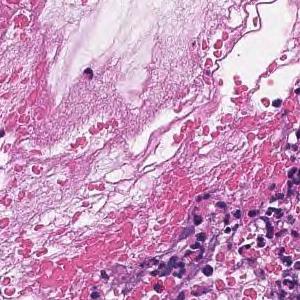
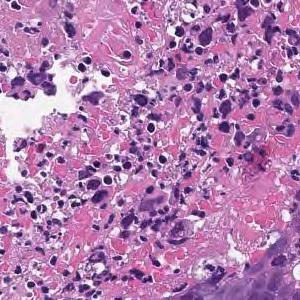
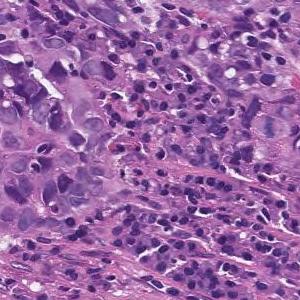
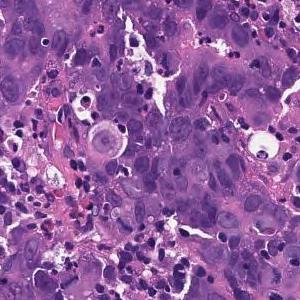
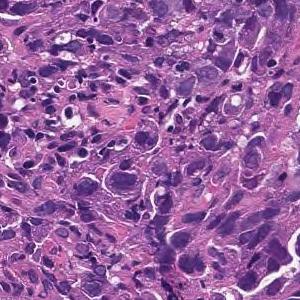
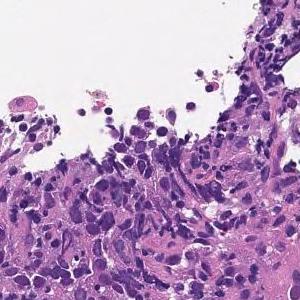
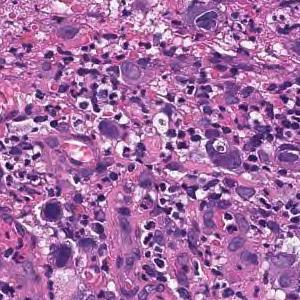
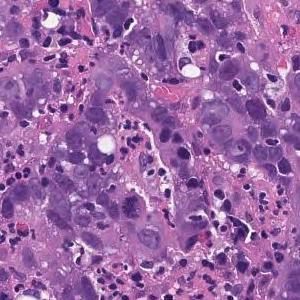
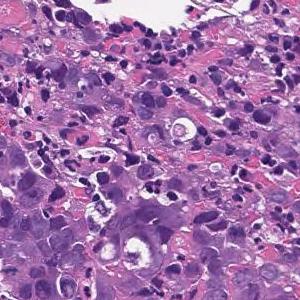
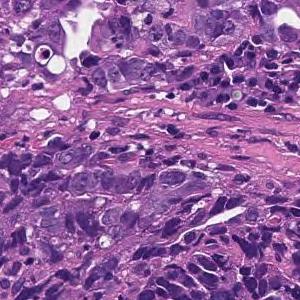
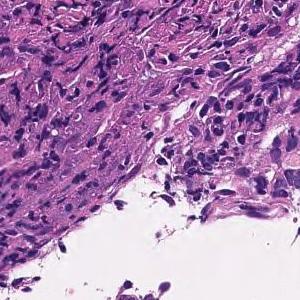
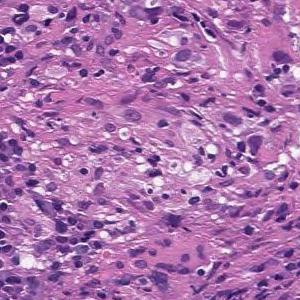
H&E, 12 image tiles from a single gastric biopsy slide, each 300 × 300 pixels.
Diagnostic report for the slide these tiles come from. What the report and the diagnosis say applies to the whole slide; these tiles may miss some of the features named and may include tissue that is not tumor.
Tumor tissue consisting of cord-like or small, irregular glandular ducts fused and infiltrated is observed in the superficial epithelium. Poorly differentiated adenocarcinoma, non-solid type
"Non-solid type" is a category of the Japanese Classification of Gastric Carcinoma.
